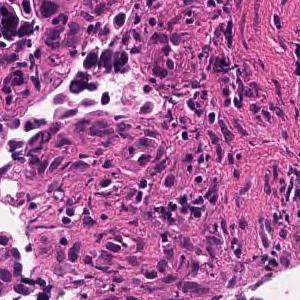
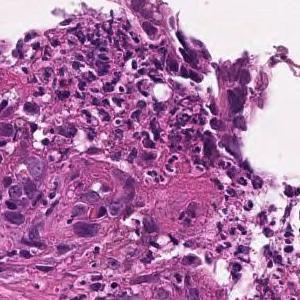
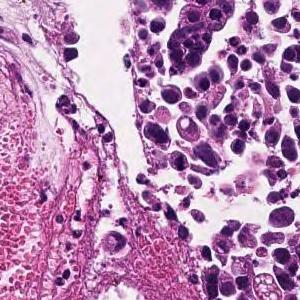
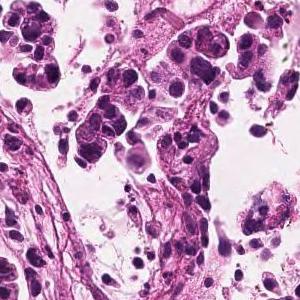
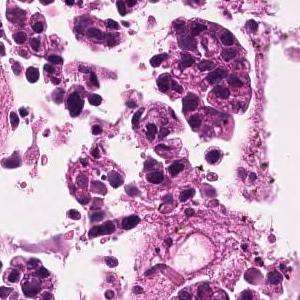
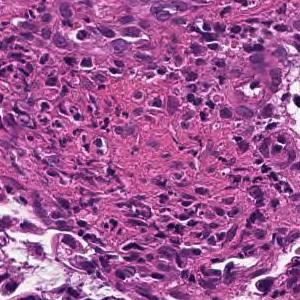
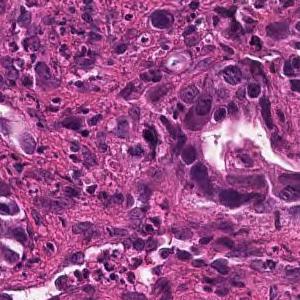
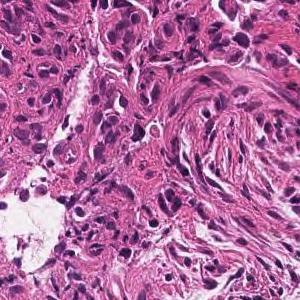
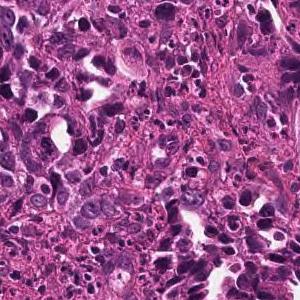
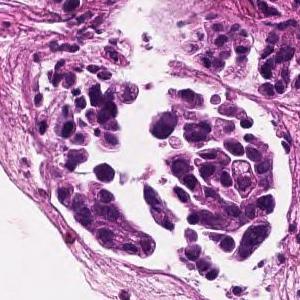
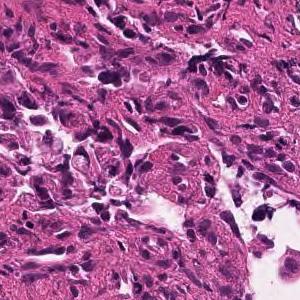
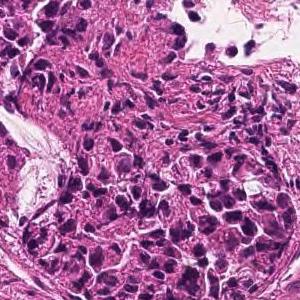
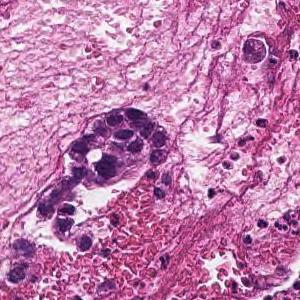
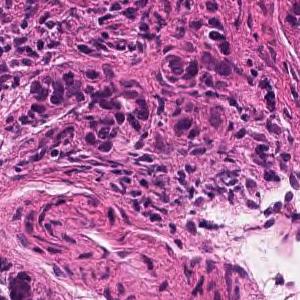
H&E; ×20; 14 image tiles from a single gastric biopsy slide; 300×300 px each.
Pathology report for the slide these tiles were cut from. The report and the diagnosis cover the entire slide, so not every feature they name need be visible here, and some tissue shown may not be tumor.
In the superficial epithelium, tumor tissue that invades by forming medium-sized to small, irregular ducts is observed. moderately differentiated tubular adenocarcinoma.
